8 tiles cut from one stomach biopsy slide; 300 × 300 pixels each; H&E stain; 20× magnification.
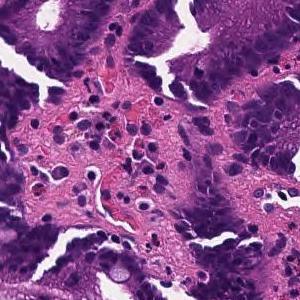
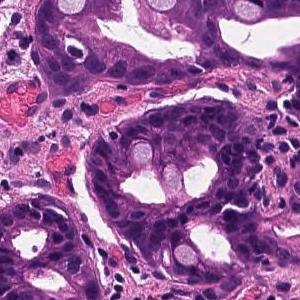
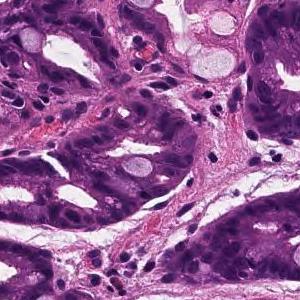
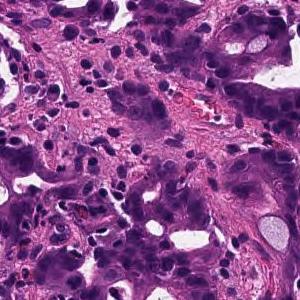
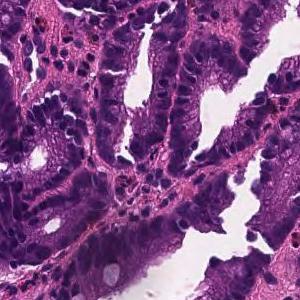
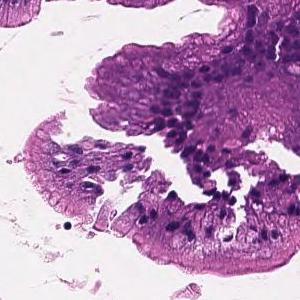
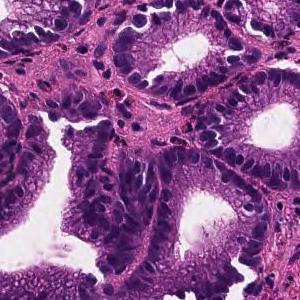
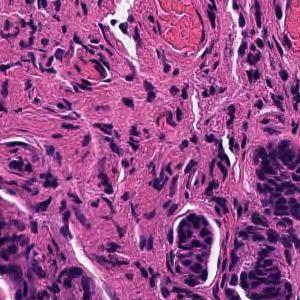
Diagnostic report for the slide these tiles come from. The report and the diagnosis cover the entire slide, so not every feature they name need be visible here, and some tissue shown may not be tumor.
From the superficial epithelium to the muscularis mucosae, tumor tissue consisting of medium-sized and irregular glandular ducts infiltrating is observed. Well differentiated tubular adenocarcinoma
